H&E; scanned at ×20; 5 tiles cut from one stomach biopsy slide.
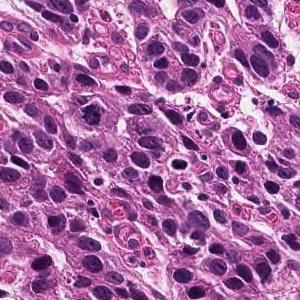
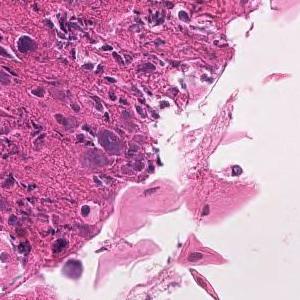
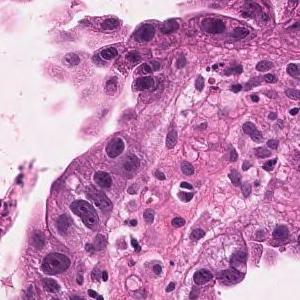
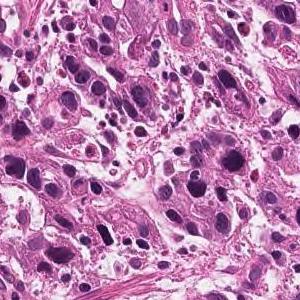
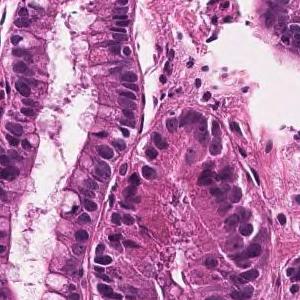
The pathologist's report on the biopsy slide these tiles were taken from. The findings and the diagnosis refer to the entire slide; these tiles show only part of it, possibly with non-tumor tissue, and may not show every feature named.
Tumor tissue consisting of medium-sized, cord-like or irregular glandular infiltration is observed in the superficial epithelium. Poorly differentiated adenocarcinoma, non-solid type or moderately differentiated tubular adenocarcinoma
Subtype: Moderately to poorly differentiated adenocarcinoma.
"Non-solid type" is a category of the Japanese Classification of Gastric Carcinoma.
